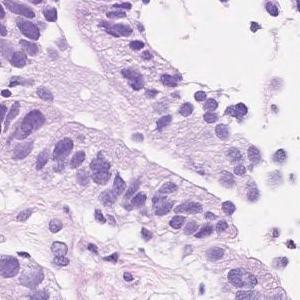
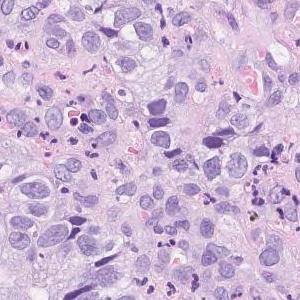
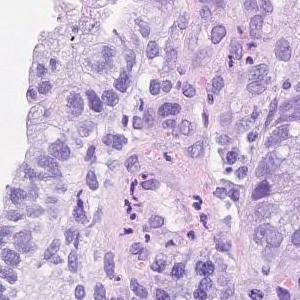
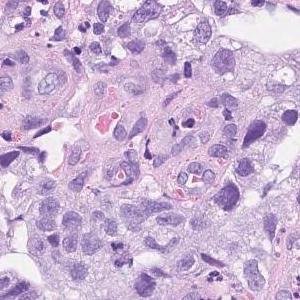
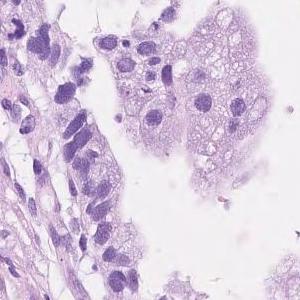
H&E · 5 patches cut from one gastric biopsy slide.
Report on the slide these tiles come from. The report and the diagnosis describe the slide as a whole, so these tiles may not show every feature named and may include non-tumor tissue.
Atypical l cells with atypical nuclei forming solid or diffuse vesicles or small irregular atypical ducts and growing in a complex manner. moderately differentiated tubular adenocarcinoma
